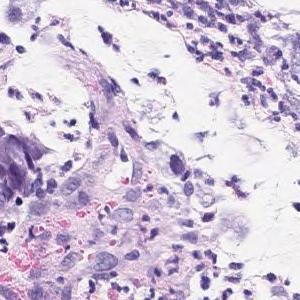
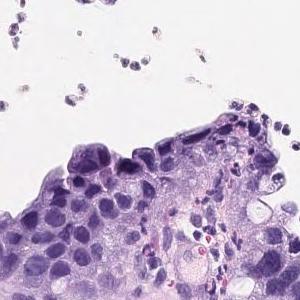
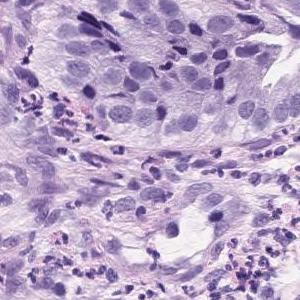
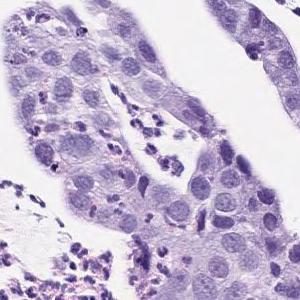
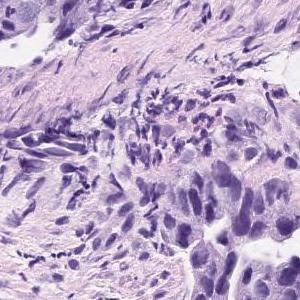
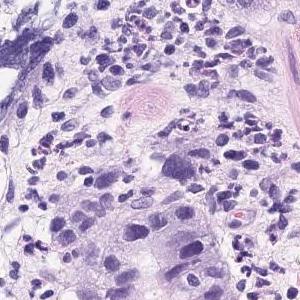
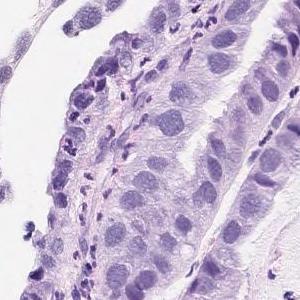
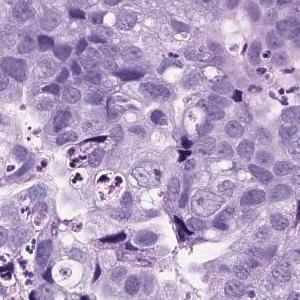
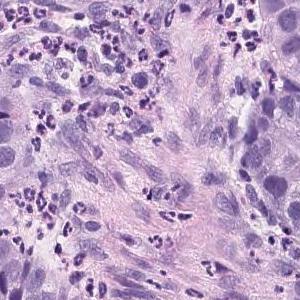
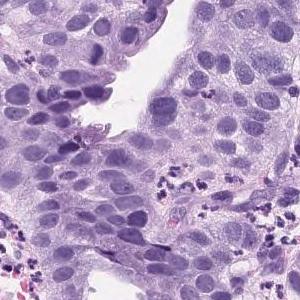
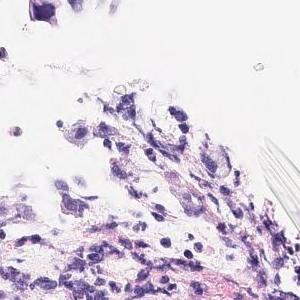
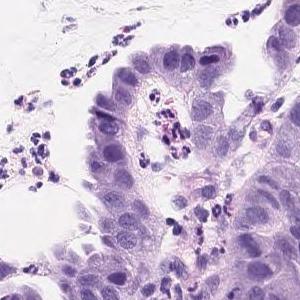
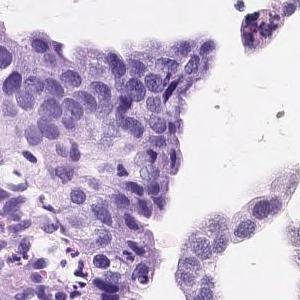
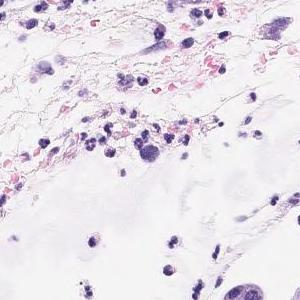
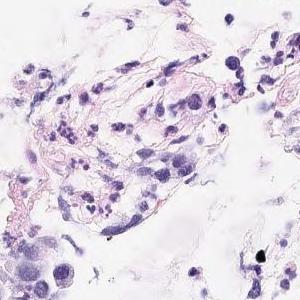
15 image tiles from a single gastric biopsy slide · each 300 × 300 pixels · H&E stain.
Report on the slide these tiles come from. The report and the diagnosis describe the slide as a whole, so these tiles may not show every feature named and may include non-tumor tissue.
Atypical l cells with atypical nuclei forming solid or diffuse vesicles or small irregular atypical ducts and growing in a complex manner. Well differentiated tubular adenocarcinoma
